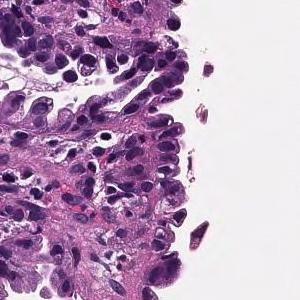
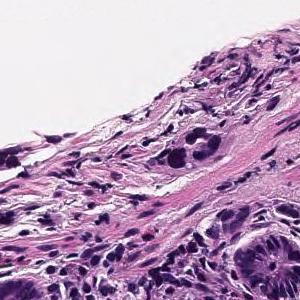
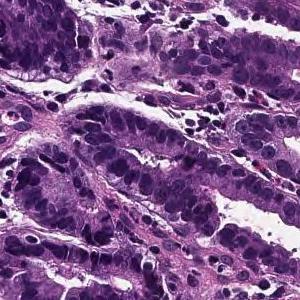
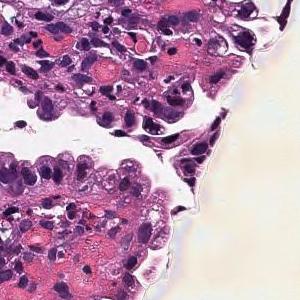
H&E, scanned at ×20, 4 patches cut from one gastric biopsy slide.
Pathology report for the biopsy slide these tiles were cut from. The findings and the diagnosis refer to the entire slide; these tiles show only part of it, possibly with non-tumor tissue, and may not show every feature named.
From the superficial epithelium to the muscularis mucosae, tumor tissue consisting of medium-sized and irregular glandular ducts infiltrating is observed. Well differentiated tubular adenocarcinoma
